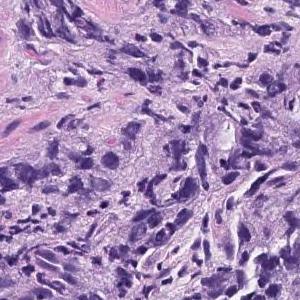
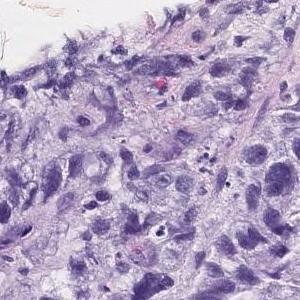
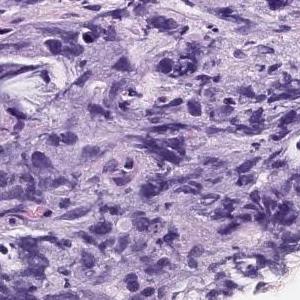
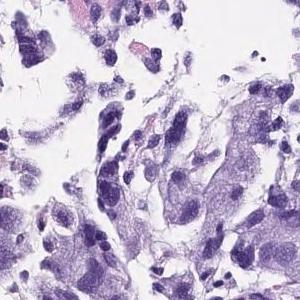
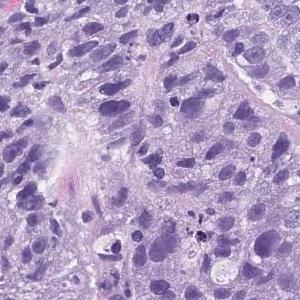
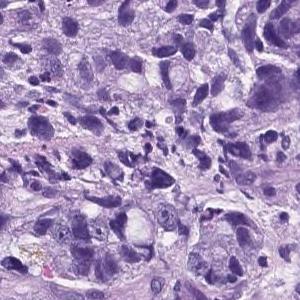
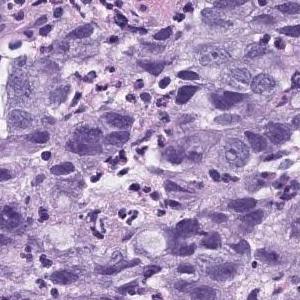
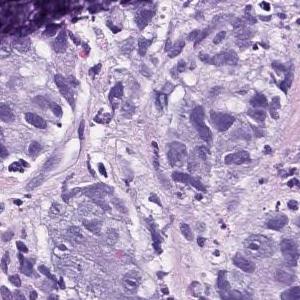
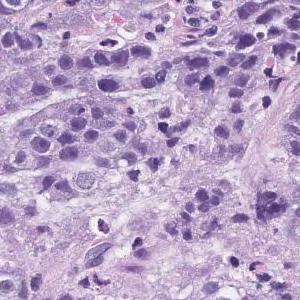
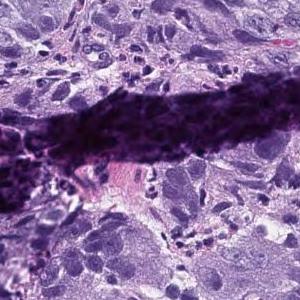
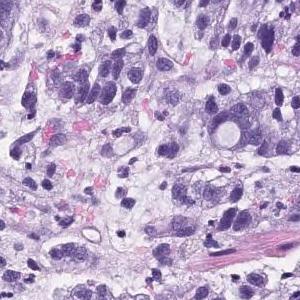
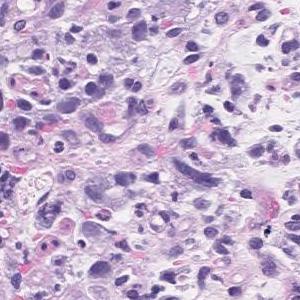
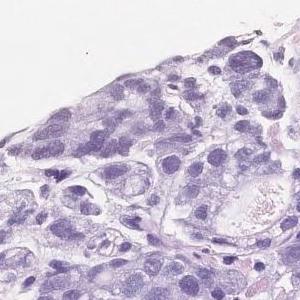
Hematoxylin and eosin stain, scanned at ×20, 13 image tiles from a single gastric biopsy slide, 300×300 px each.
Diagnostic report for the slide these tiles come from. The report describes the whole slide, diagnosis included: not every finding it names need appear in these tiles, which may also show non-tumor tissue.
Atypical l cells with atypical nuclei forming solid vesicles or small irregular atypical ducts that proliferate in a complex manner. poorly differentiated adenocarcinoma, solid type, moderately differentiated tubular adenocarcinoma
The term "solid type" comes from the Japanese Classification of Gastric Carcinoma; the WHO 2019 equivalent is tubular adenocarcinoma, poorly differentiated.
